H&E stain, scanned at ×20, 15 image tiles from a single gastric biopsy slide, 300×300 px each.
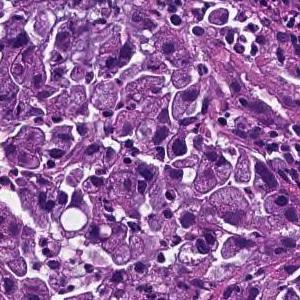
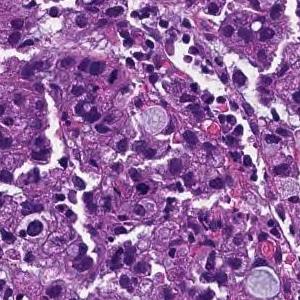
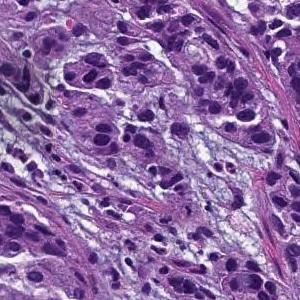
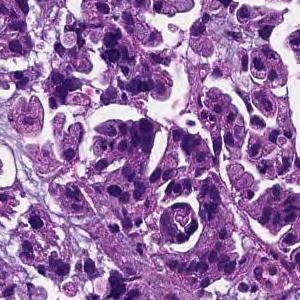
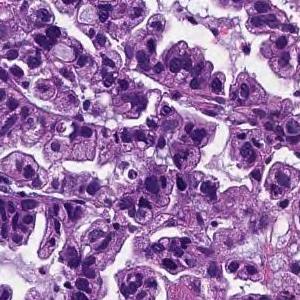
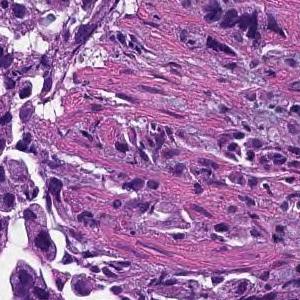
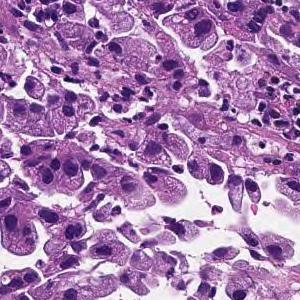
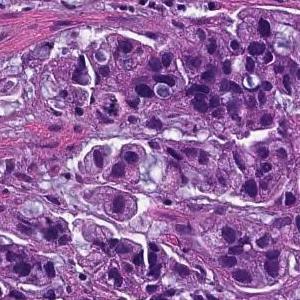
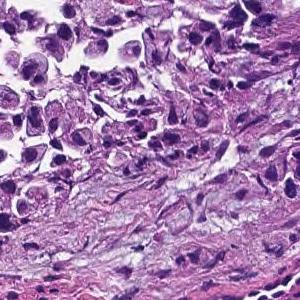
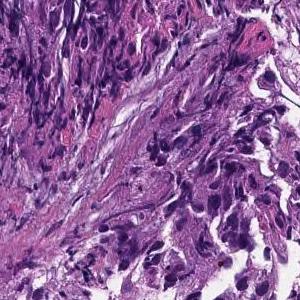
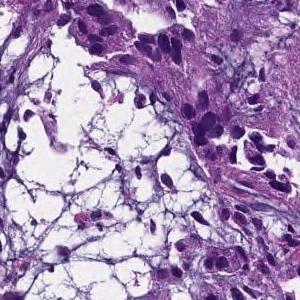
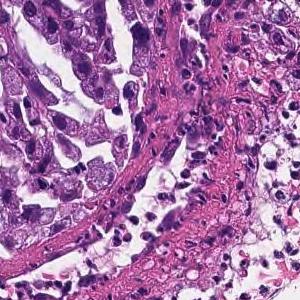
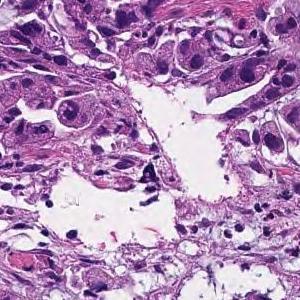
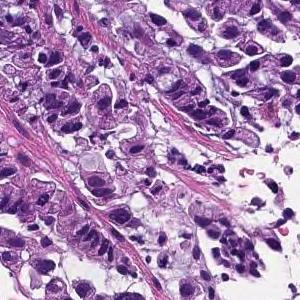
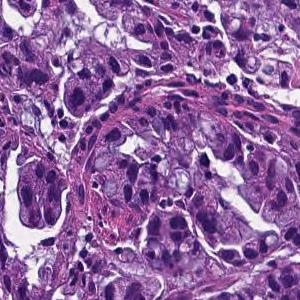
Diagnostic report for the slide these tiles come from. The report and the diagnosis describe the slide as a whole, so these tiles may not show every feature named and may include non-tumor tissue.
Tumor tissue consisting of medium-sized, cord-like or irregular glandular infiltration is observed in the superficial epithelium. Poorly differentiated adenocarcinoma, non-solid type or moderately differentiated tubular adenocarcinoma
Histological subtype: Moderately to poorly differentiated adenocarcinoma.
"Non-solid type" is a category of the Japanese Classification of Gastric Carcinoma.
